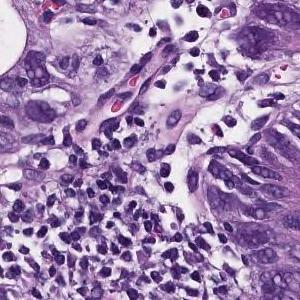
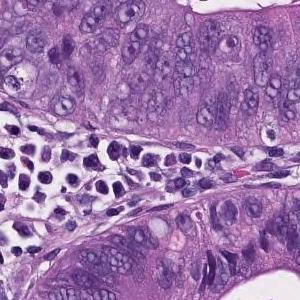
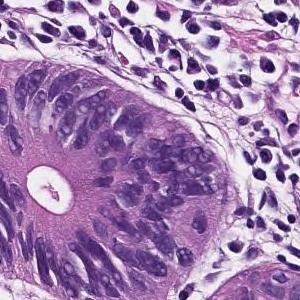
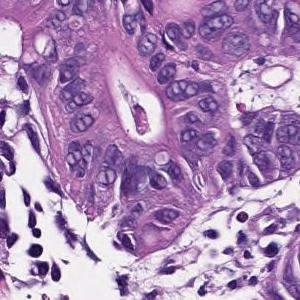
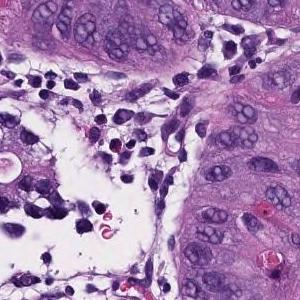
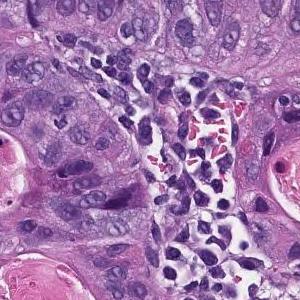
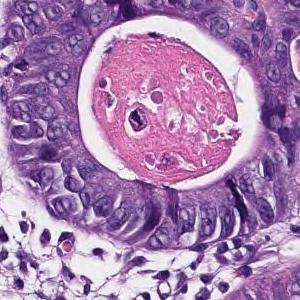
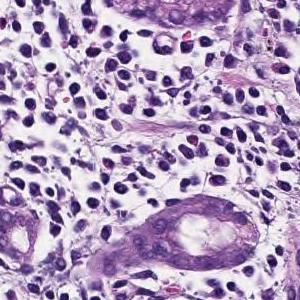
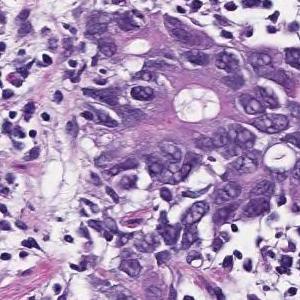
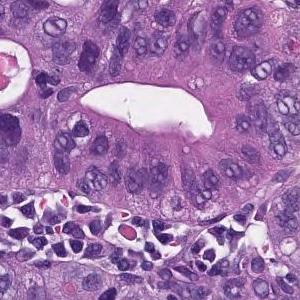
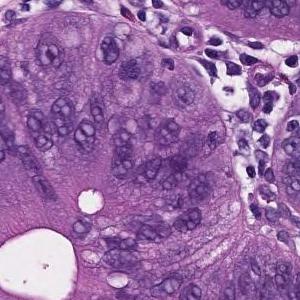
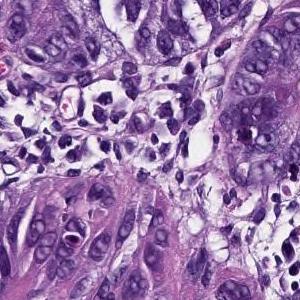
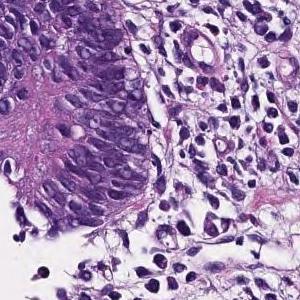
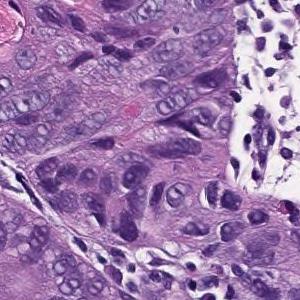
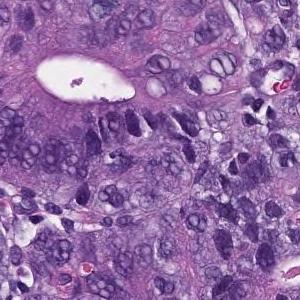
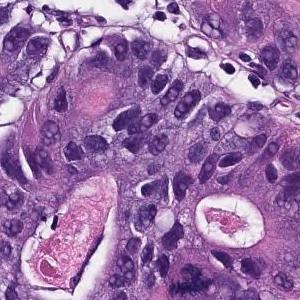
16 image tiles from a single gastric biopsy slide, H&E.
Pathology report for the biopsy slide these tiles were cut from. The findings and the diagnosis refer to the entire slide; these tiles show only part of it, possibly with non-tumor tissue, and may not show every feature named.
In the superficial epithelium, tumor tissue that invades by forming medium-sized to small, irregular ducts is observed. moderately differentiated tubular adenocarcinoma.
